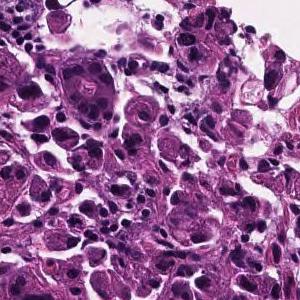
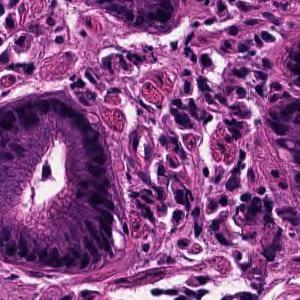
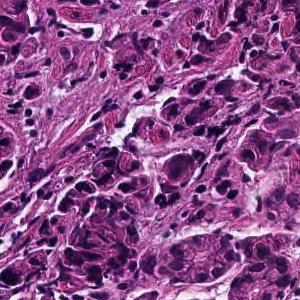
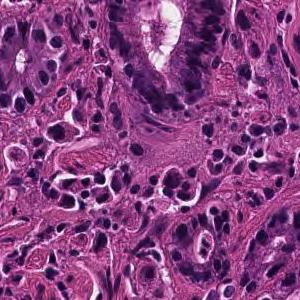
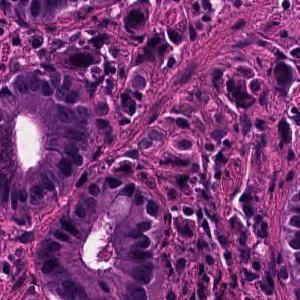
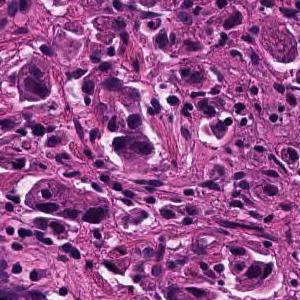
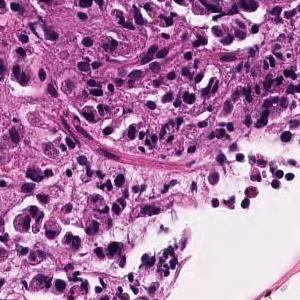
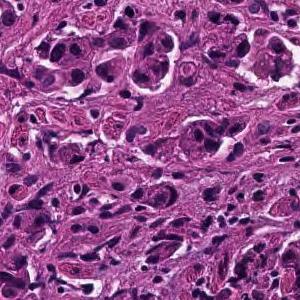
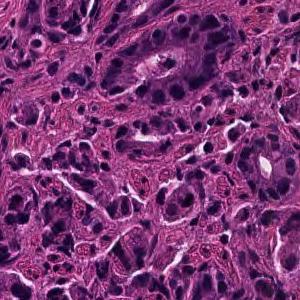
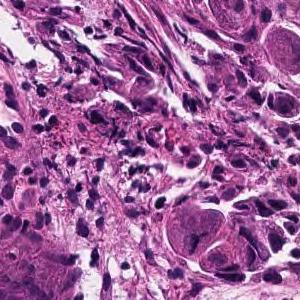
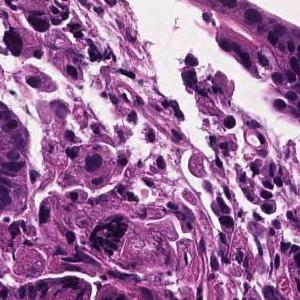
11 tiles cut from one stomach biopsy slide, each 300 × 300 pixels, ×20, hematoxylin and eosin stain.
The pathologist's report on the biopsy slide these tiles were taken from. The report and the diagnosis describe the slide as a whole, so these tiles may not show every feature named and may include non-tumor tissue.
Tumor tissue consisting of cord-like or small, irregular glandular ducts fused and infiltrated is observed in the superficial epithelium. Poorly differentiated adenocarcinoma, non-solid type
The non-solid type named here is a Japanese Classification of Gastric Carcinoma category.
